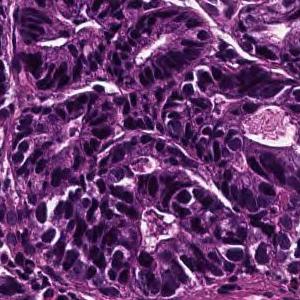
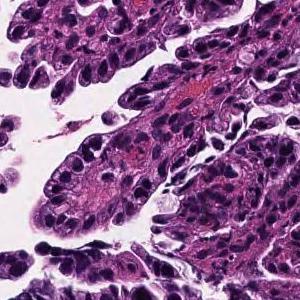
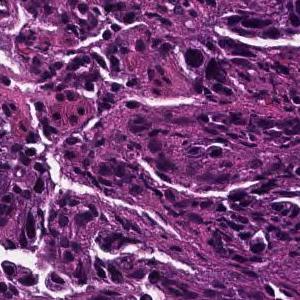
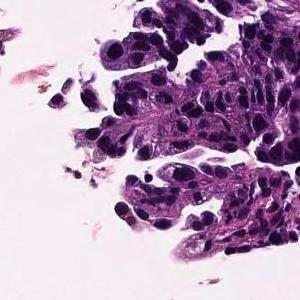
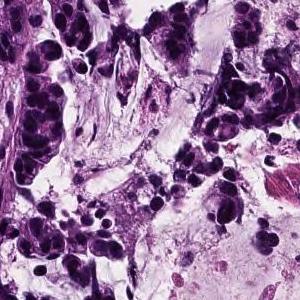
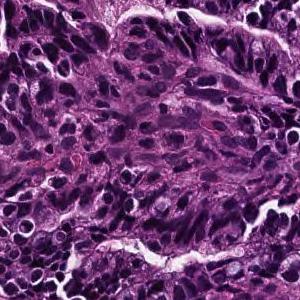
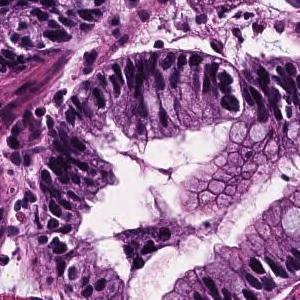
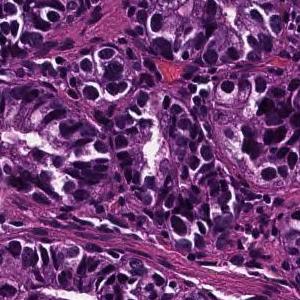
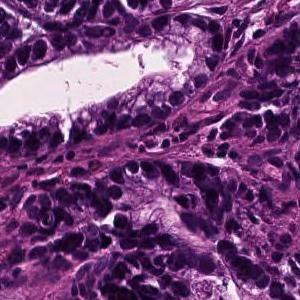
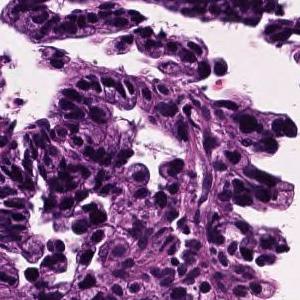
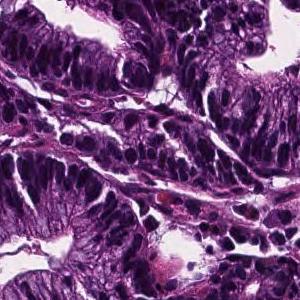
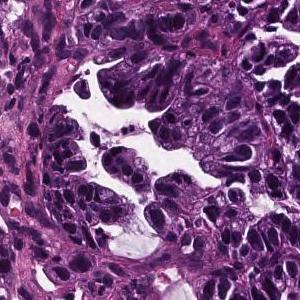
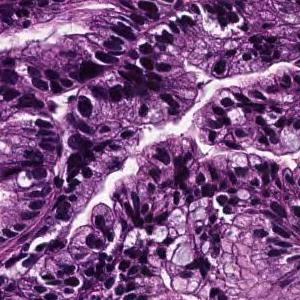
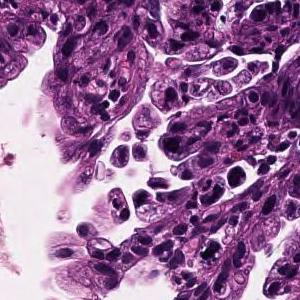
20× magnification · H&E · 14 image tiles from a single gastric biopsy slide · each 300 × 300 pixels.
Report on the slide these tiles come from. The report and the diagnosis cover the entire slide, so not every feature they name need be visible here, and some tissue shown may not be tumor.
In the superficial epithelium, tumor tissue that invades by forming medium-sized to small, irregular ducts is observed. Well differentiated tubular adenocarcinoma.
